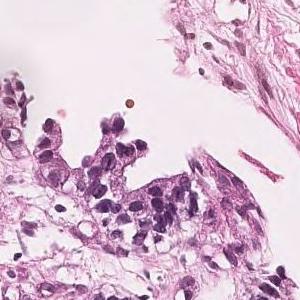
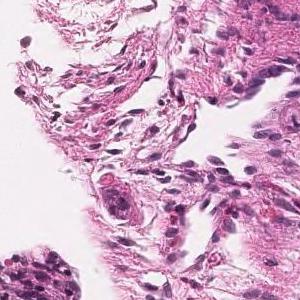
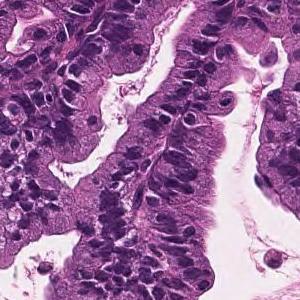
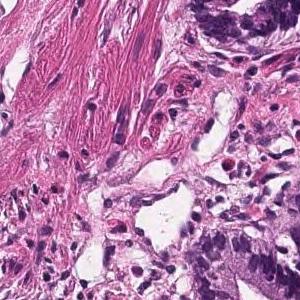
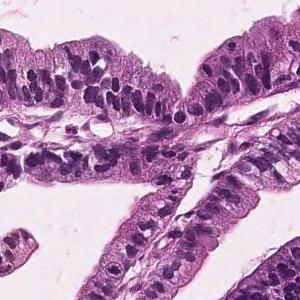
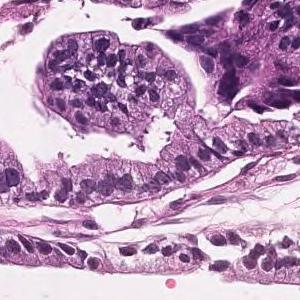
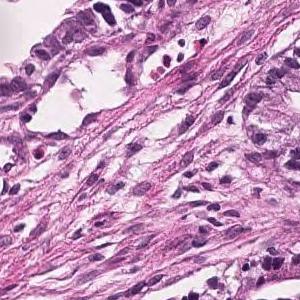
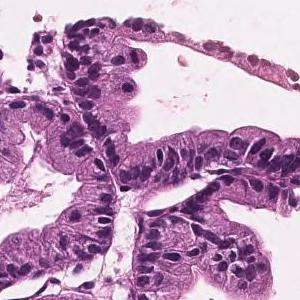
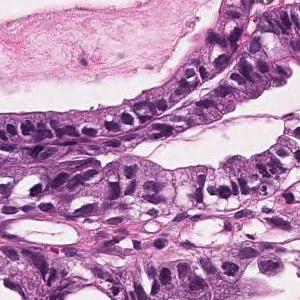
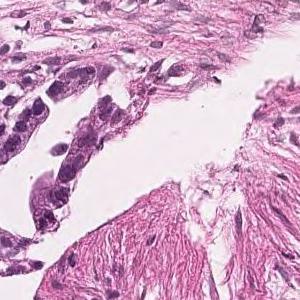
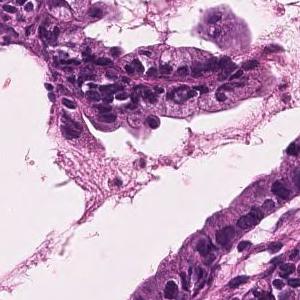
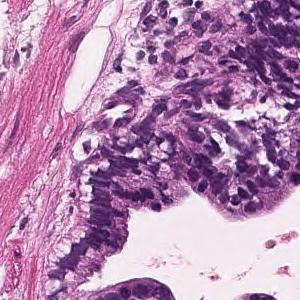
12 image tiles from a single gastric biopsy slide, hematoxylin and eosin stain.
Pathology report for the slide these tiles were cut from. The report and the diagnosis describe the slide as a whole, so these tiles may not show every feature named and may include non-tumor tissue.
Tumor cells are large, highly columnar, large club-shaped nuclei, and are associated with chromatin aggregation. Papillary adenocarcinoma.
